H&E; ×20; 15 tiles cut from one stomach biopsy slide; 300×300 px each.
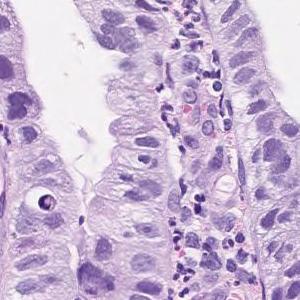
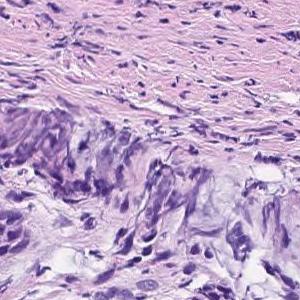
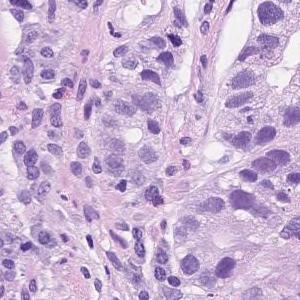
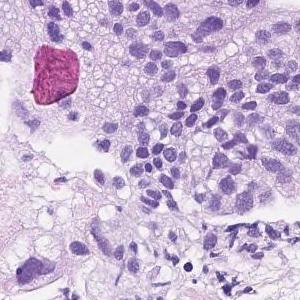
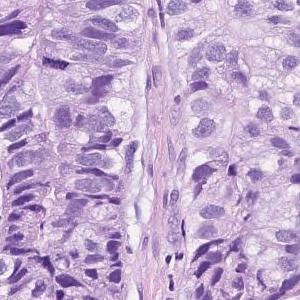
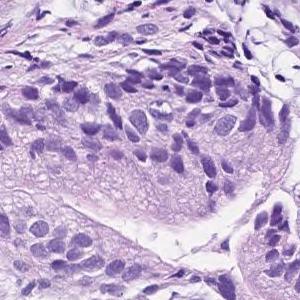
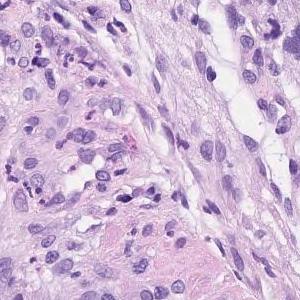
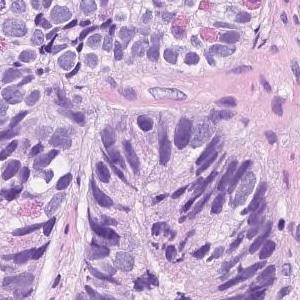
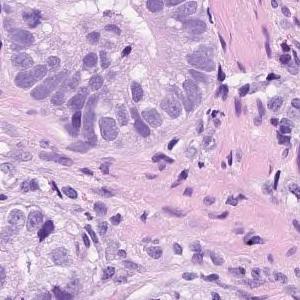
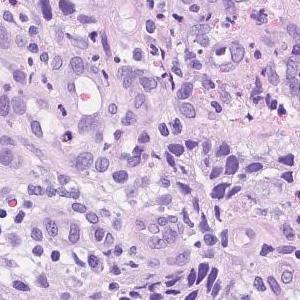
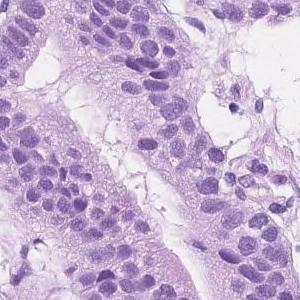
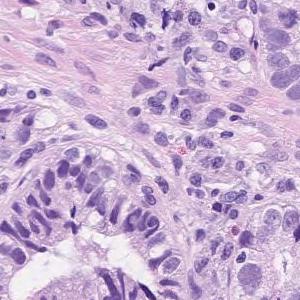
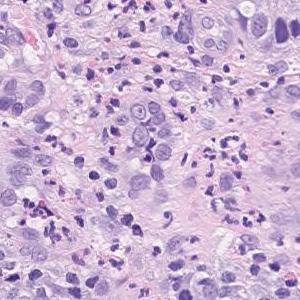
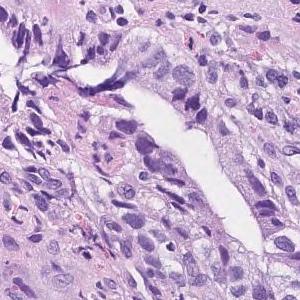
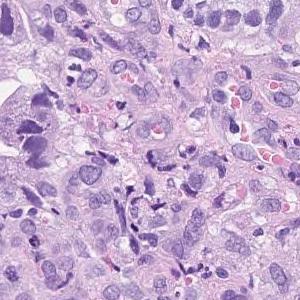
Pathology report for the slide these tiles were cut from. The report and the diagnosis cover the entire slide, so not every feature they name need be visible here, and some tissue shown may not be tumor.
Atypical l cells with atypical nuclei forming solid or diffuse vesicles or small irregular atypical ducts and growing in a complex manner. moderately differentiated tubular adenocarcinoma
